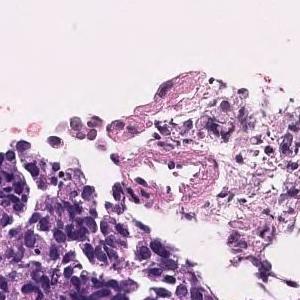
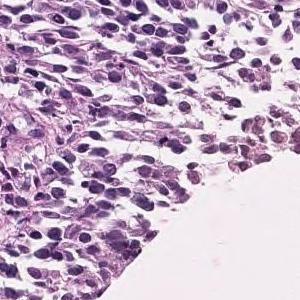
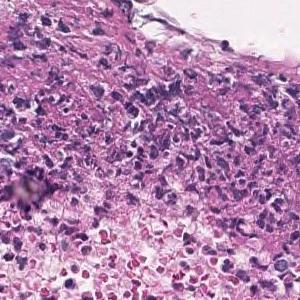
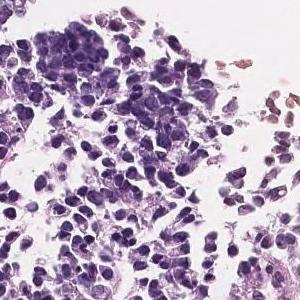
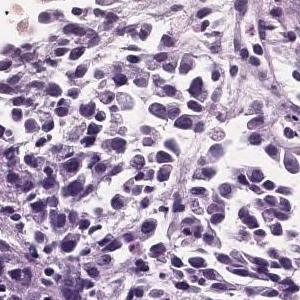
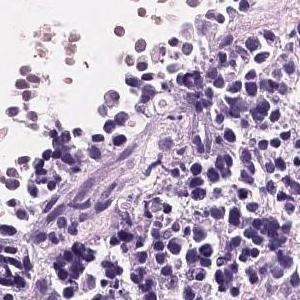
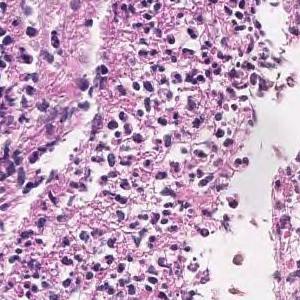
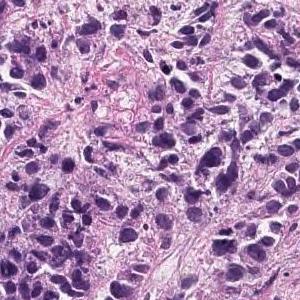
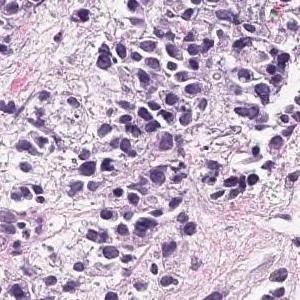
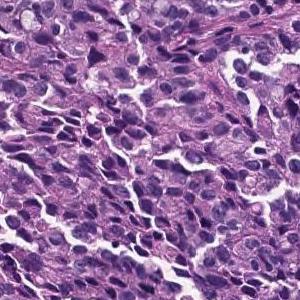
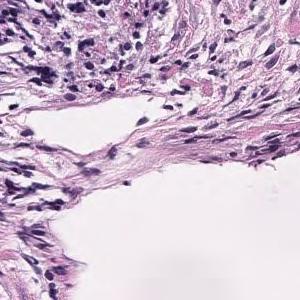
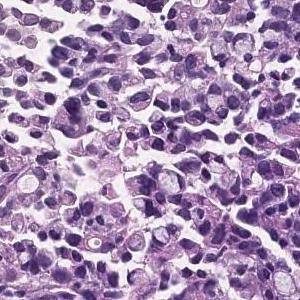
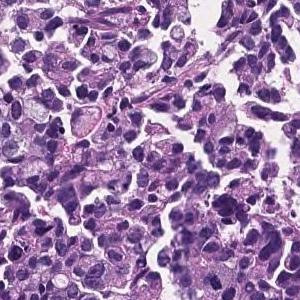
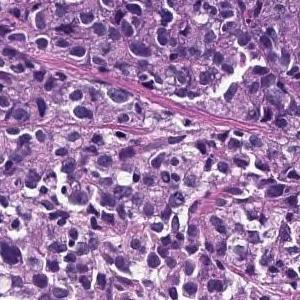
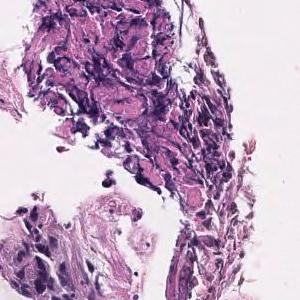
15 patches cut from one gastric biopsy slide.
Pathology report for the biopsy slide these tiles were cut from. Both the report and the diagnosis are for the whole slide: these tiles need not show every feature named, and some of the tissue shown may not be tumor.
The superficial epithelium shows a large sheet-like shape, and some tumor tissue infiltrates with small irregular ducts. Poorly differentiated adenocarcinoma, solid-type
Histologic type: Poorly differentiated adenocarcinoma, solid type. This name comes from the Japanese Classification of Gastric Carcinoma; the WHO 2019 classification calls it tubular adenocarcinoma, poorly differentiated.
